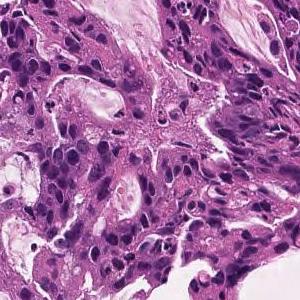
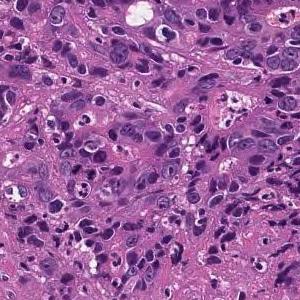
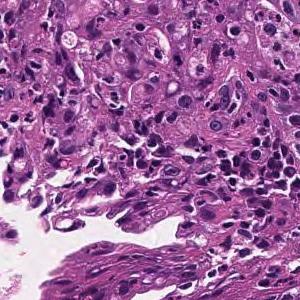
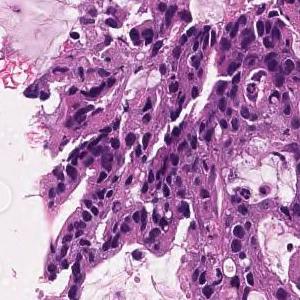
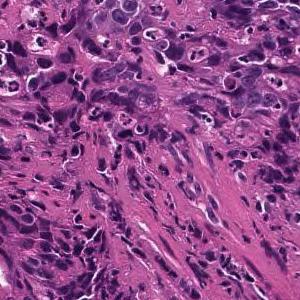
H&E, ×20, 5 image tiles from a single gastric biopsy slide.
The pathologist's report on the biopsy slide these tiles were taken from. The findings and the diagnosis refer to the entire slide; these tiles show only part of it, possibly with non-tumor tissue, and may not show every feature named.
In the superficial epithelium, tumor tissue that invades by forming medium-sized to small, irregular ducts is observed. moderately differentiated tubular adenocarcinoma.
